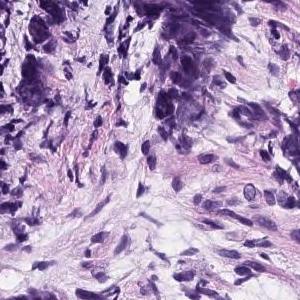
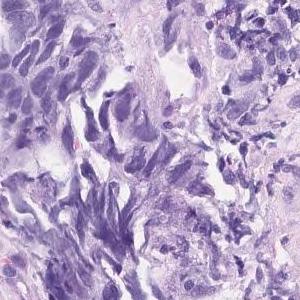
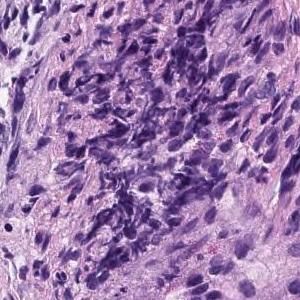
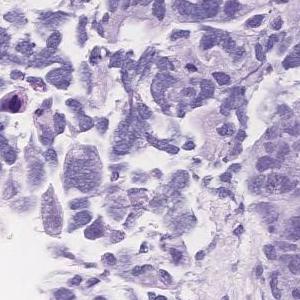
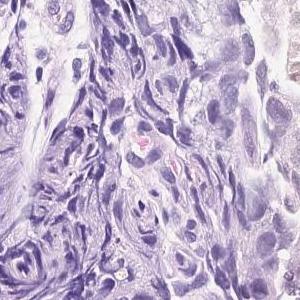
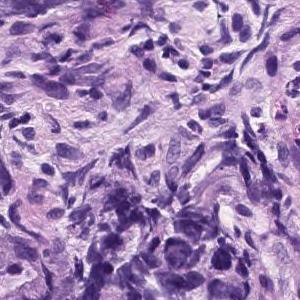
6 tiles cut from one stomach biopsy slide · each 300 × 300 pixels · hematoxylin and eosin stain.
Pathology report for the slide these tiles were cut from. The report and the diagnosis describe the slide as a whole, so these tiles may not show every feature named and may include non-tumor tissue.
Atypical epithelial cells with an increased N/C ratio proliferate and consist of a part that shows the formation of gland ducts and a part that shows solid growth. Poorly differentiated adenocarcinoma, solid-type
Tumor subtype: poorly differentiated adenocarcinoma, solid type (Japanese Classification of Gastric Carcinoma). The WHO 2019 equivalent is tubular adenocarcinoma, poorly differentiated.
